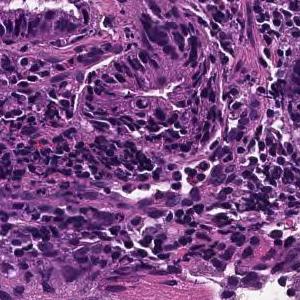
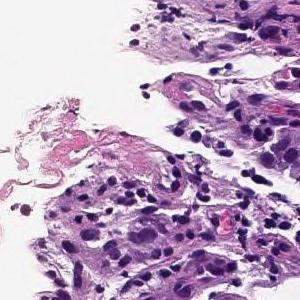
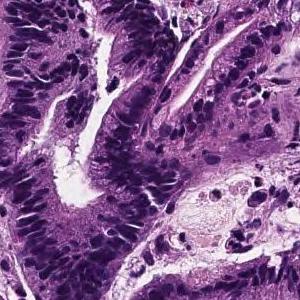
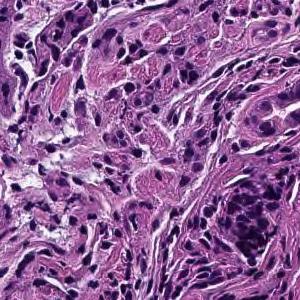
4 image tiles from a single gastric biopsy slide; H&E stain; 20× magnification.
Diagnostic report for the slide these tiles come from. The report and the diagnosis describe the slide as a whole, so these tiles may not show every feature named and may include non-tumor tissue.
From the superficial epithelium to the muscularis mucosae, tumor tissue consisting of medium-sized and irregular glandular ducts infiltrating is observed. Well differentiated tubular adenocarcinoma
